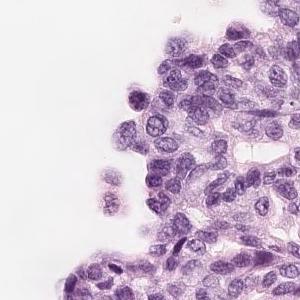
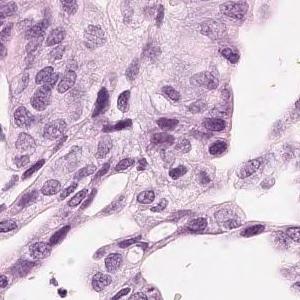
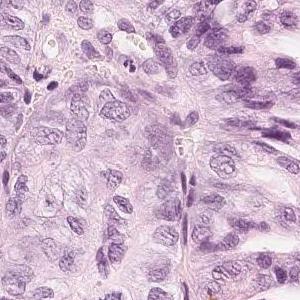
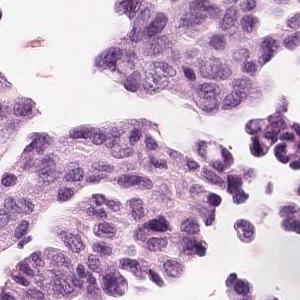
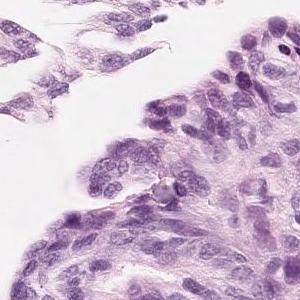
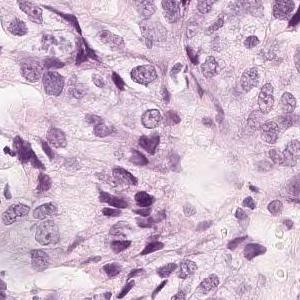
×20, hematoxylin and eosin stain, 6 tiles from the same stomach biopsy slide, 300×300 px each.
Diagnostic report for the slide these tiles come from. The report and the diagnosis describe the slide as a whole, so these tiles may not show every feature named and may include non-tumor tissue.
Tumor tissue in which medium-sized atypical epithelial cells with a large N/C ratio grow densely while becoming alveolar to cord-like with duct formation is observed. moderately differentiated tubular adenocarcinoma
